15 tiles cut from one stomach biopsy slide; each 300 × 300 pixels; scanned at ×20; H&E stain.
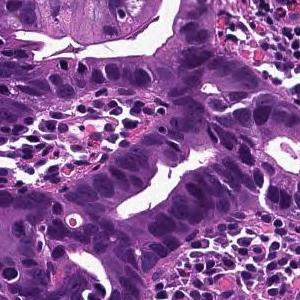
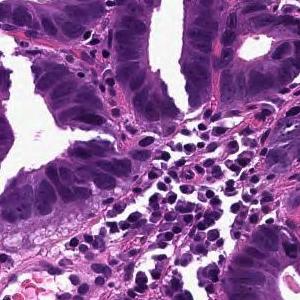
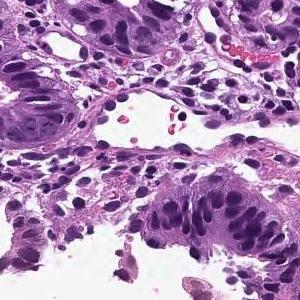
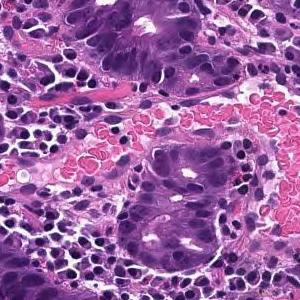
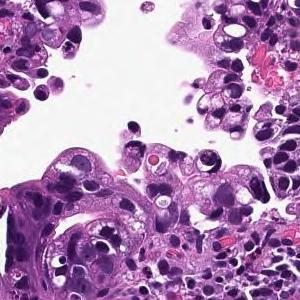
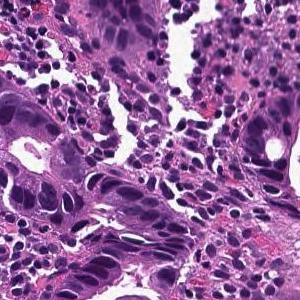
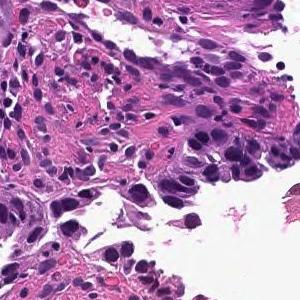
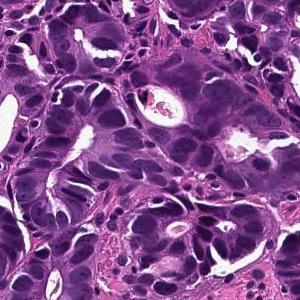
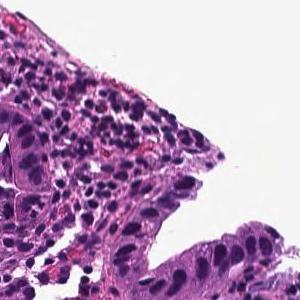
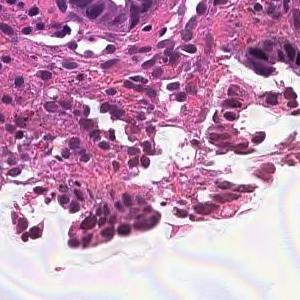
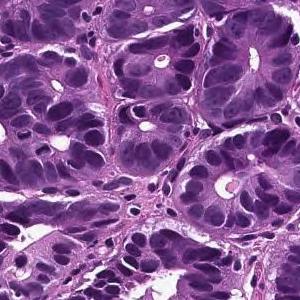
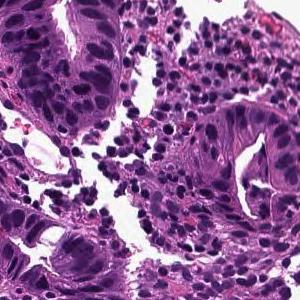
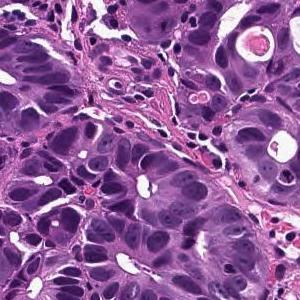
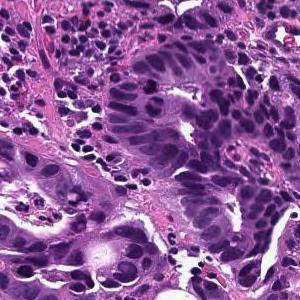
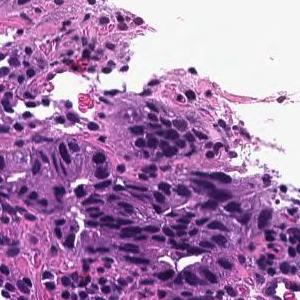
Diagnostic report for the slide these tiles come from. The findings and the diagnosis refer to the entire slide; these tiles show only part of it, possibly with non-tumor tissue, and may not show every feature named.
From the superficial epithelium to the muscularis mucosae, tumor tissue consisting of medium-sized and irregular glandular ducts infiltrating is observed. Well differentiated tubular adenocarcinoma
